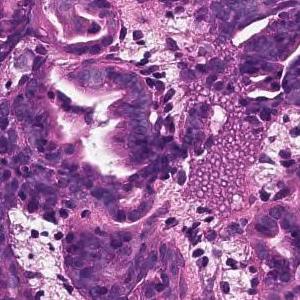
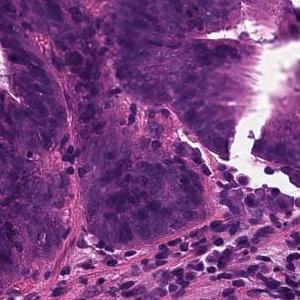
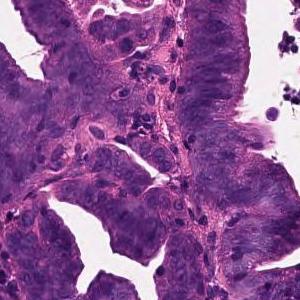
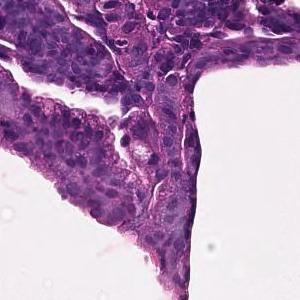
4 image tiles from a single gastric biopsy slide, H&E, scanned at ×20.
Diagnostic report for the slide these tiles come from. The report and the diagnosis describe the slide as a whole, so these tiles may not show every feature named and may include non-tumor tissue.
Tumor cells are large, highly columnar, large club-shaped nuclei, and are associated with chromatin aggregation. Papillary adenocarcinoma.
